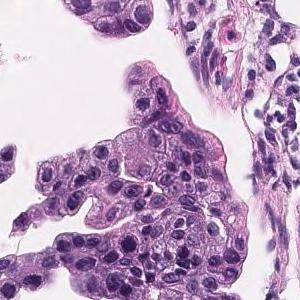
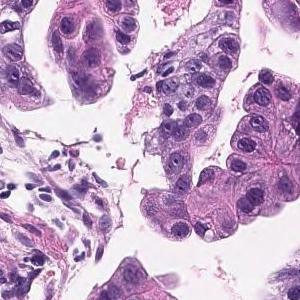
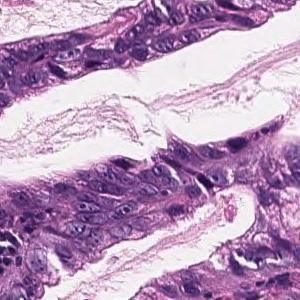
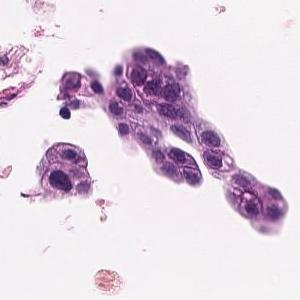
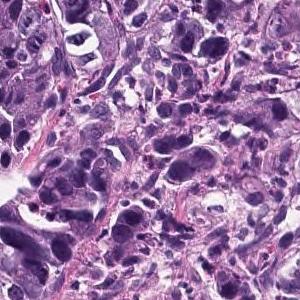
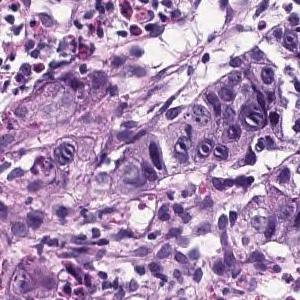
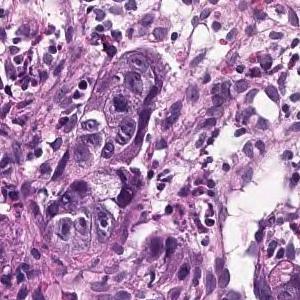
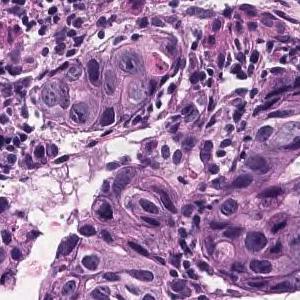
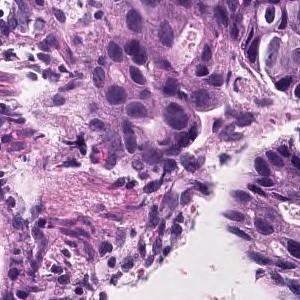
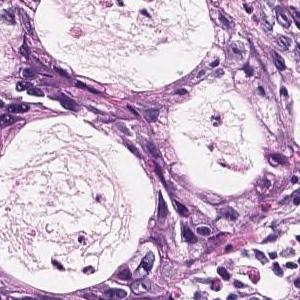
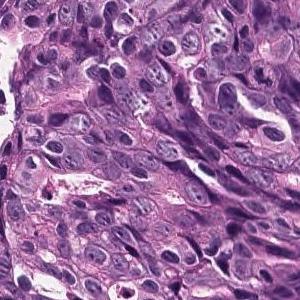
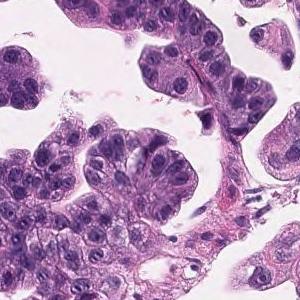
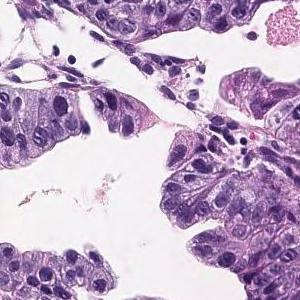
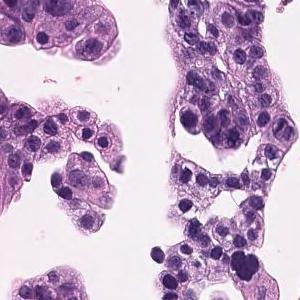
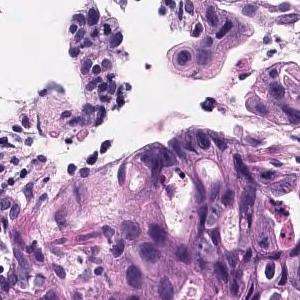
15 tiles from the same stomach biopsy slide · each 300 × 300 pixels · H&E stain · 20× magnification.
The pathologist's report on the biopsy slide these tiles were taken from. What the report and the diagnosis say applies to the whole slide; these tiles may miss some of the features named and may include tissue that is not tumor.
Tumor cells are large, highly columnar, large club-shaped nuclei, and are associated with chromatin aggregation. Papillary adenocarcinoma.
